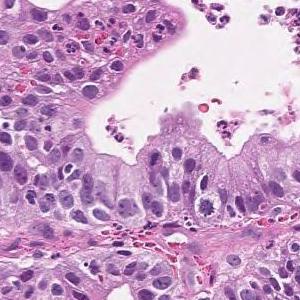
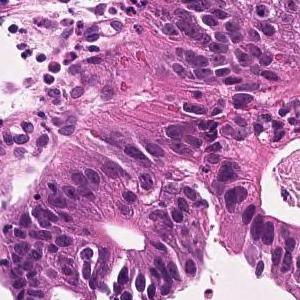
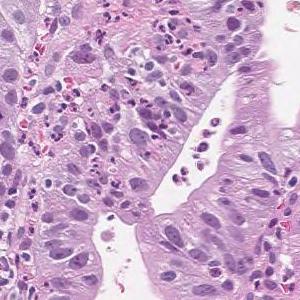
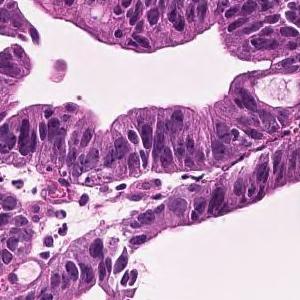
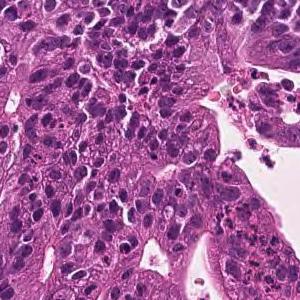
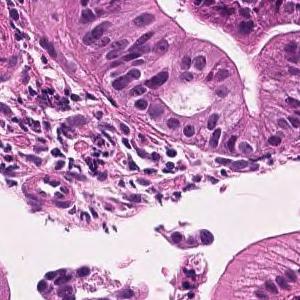
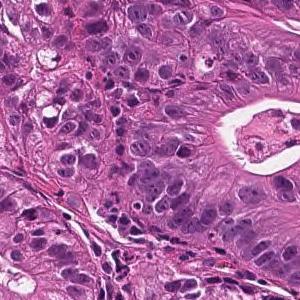
×20; H&E stain; 7 tiles cut from one stomach biopsy slide; 300×300 px each.
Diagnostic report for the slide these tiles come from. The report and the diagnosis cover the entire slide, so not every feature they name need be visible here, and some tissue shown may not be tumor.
Tumor cells are large, highly columnar, large club-shaped nuclei, and are associated with chromatin aggregation. Papillary adenocarcinoma.
